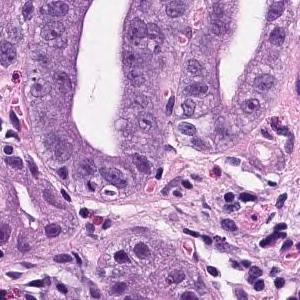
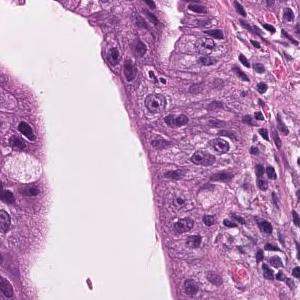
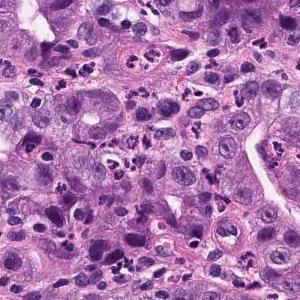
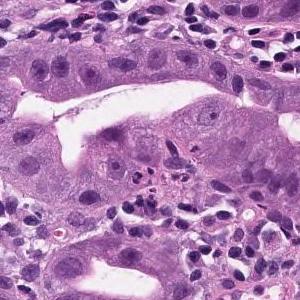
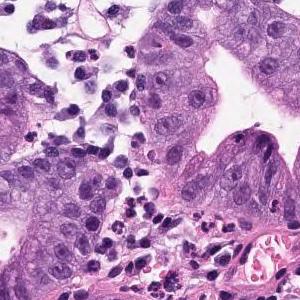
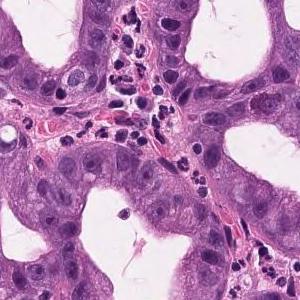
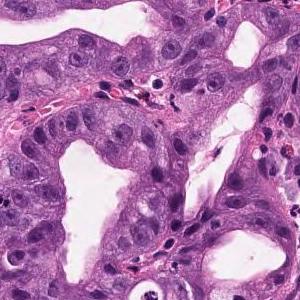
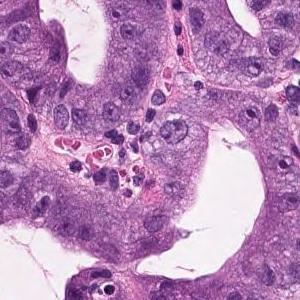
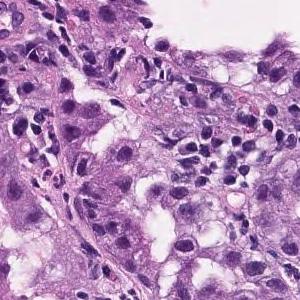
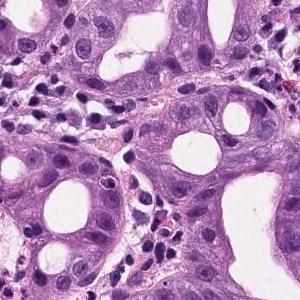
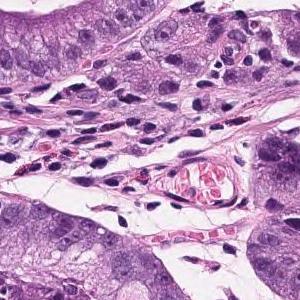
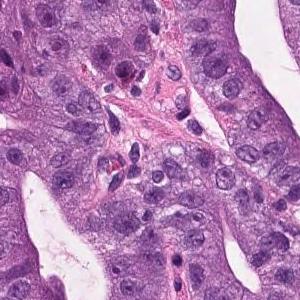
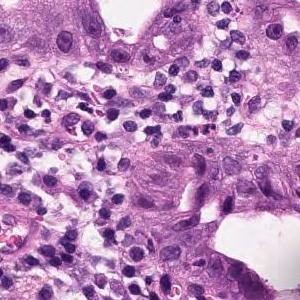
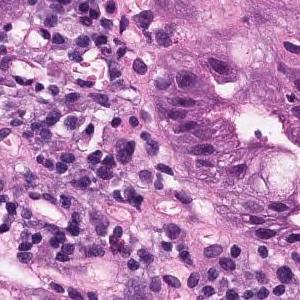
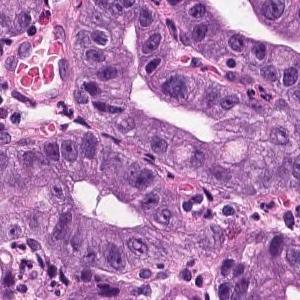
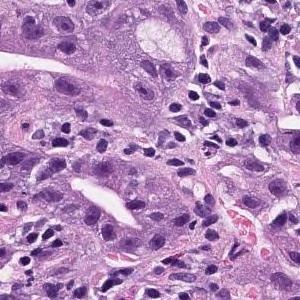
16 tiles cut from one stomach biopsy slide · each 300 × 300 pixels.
Pathology report for the biopsy slide these tiles were cut from. The report and the diagnosis describe the slide as a whole, so these tiles may not show every feature named and may include non-tumor tissue.
In the superficial epithelium, tumor tissue that invades by forming medium-sized to small, irregular ducts is observed. Well to moderately differentiated adenocarcinoma (well differentiated tubular adenocarcinoma, moderately differentiated tubular adenocarcinoma).
Tumor subtype: well to moderately differentiated tubular adenocarcinoma.
